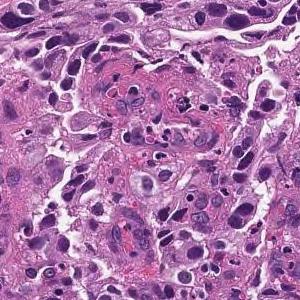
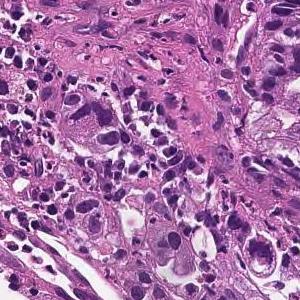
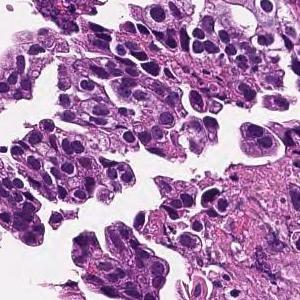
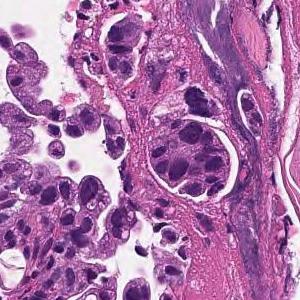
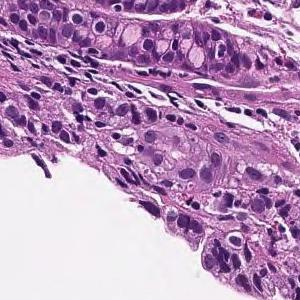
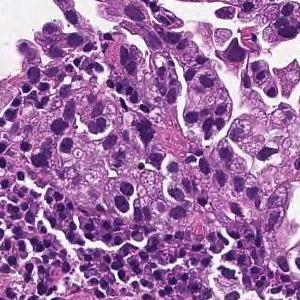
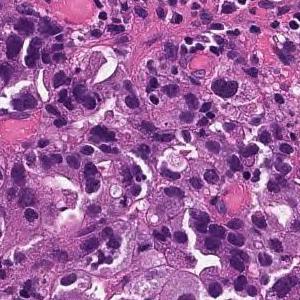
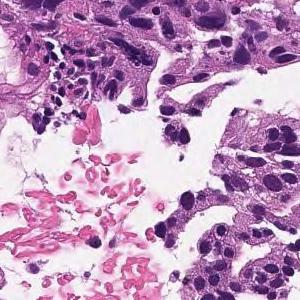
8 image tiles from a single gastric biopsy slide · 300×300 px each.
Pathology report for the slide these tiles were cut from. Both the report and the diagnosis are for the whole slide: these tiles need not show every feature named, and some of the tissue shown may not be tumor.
Medium to small, irregular glandular ducts are formed in the superficial epithelium, and in some cases, the glandular ducts are fused to show solid alveolar lesions and infiltrating tumor tissue is observed. Moderately to poorly differentiated adenocarcinoma.
